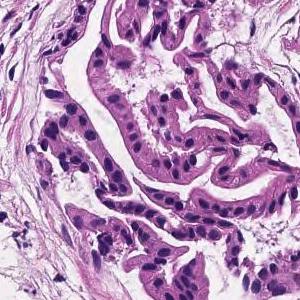
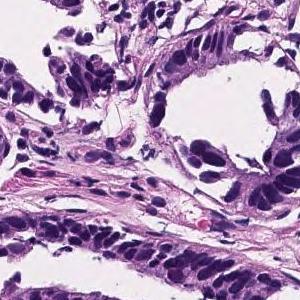
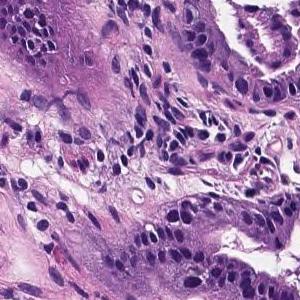
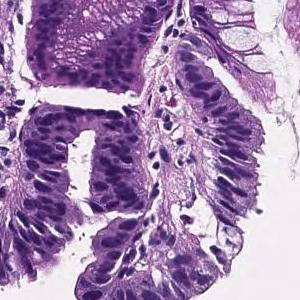
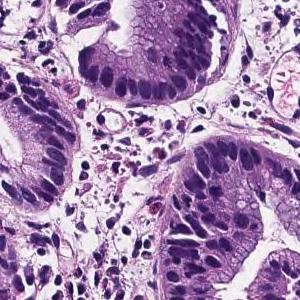
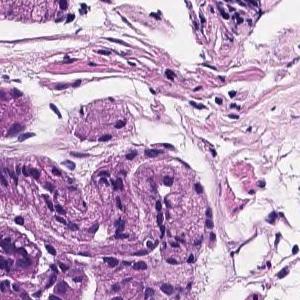
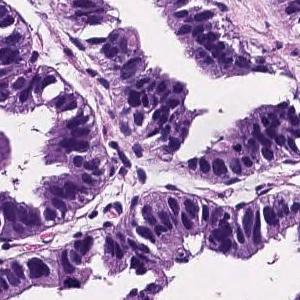
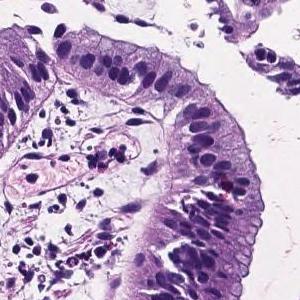
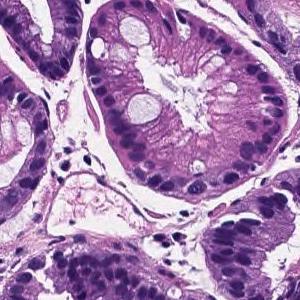
9 tiles cut from one stomach biopsy slide; hematoxylin and eosin stain; 20× magnification.
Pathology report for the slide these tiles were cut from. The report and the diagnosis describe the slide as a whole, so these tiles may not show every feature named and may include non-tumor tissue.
Tumor cells are large, highly columnar, large club-shaped nuclei, and are associated with chromatin aggregation. Papillary adenocarcinoma.
